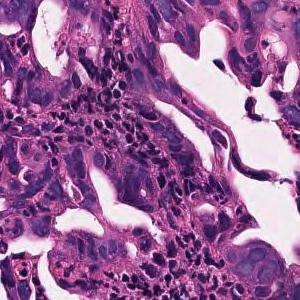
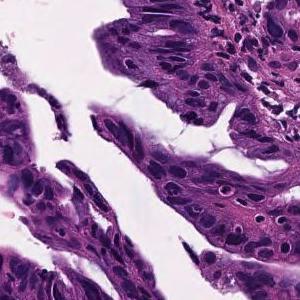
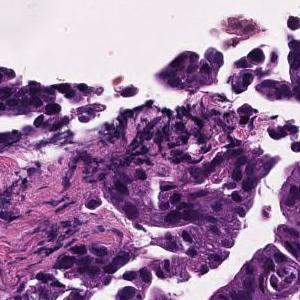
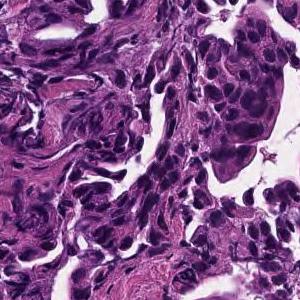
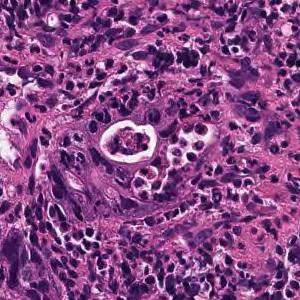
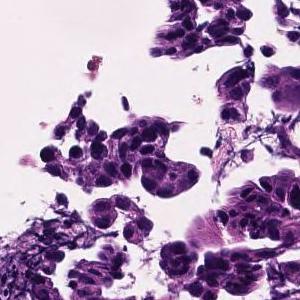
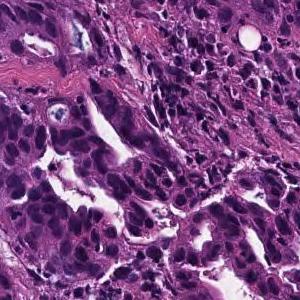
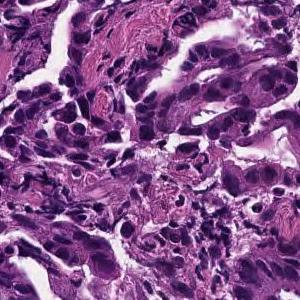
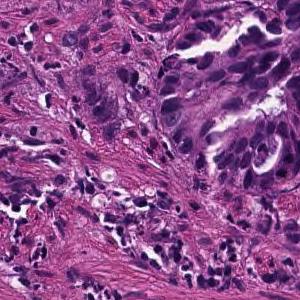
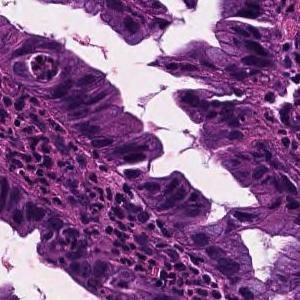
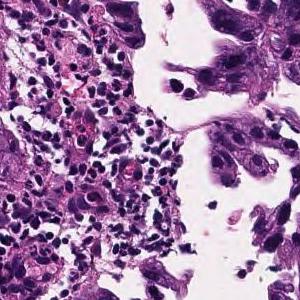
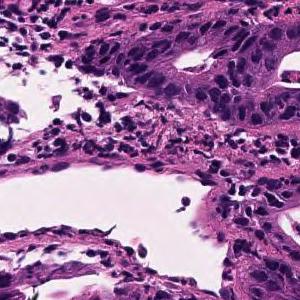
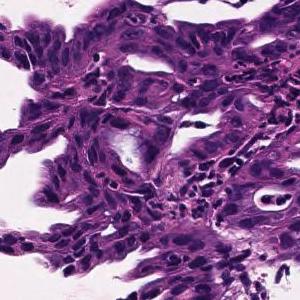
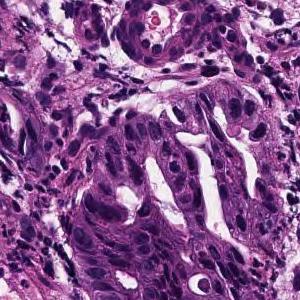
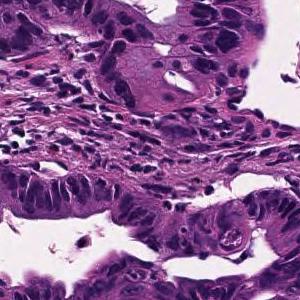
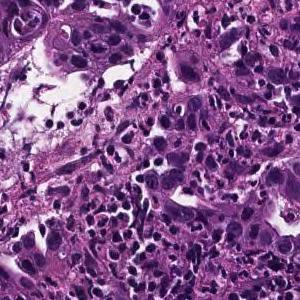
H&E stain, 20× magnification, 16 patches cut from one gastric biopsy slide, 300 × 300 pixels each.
The pathologist's report on the biopsy slide these tiles were taken from. The findings and the diagnosis refer to the entire slide; these tiles show only part of it, possibly with non-tumor tissue, and may not show every feature named.
In the superficial epithelium, medium-sized to small irregular glandular ducts are formed, and in some cases, the glandular ducts are fused or small cord-like infiltrating tumor tissue is observed. moderately differentiated tubular adenocarcinoma
